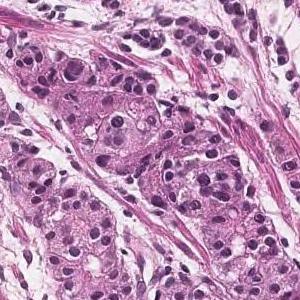
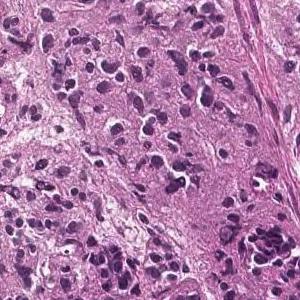
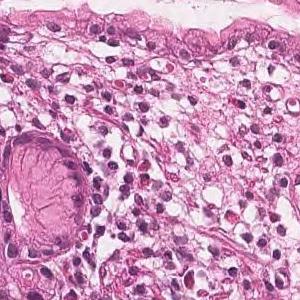
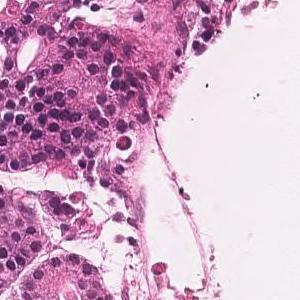
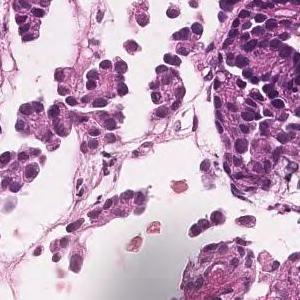
20× magnification; H&E stain; 5 tiles cut from one stomach biopsy slide; 300×300 px each.
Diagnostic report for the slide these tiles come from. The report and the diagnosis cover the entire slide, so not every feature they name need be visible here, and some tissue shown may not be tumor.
In the superficial epithelium, tumor tissue that invades by forming medium-sized to small, irregular ducts is observed. Moderately differentiated adenocarcinoma.
Subtype: Moderately differentiated tubular adenocarcinoma.
